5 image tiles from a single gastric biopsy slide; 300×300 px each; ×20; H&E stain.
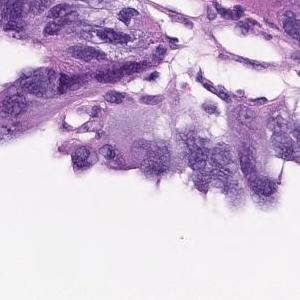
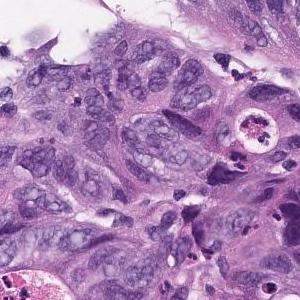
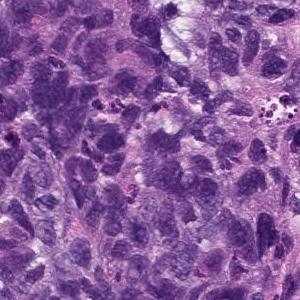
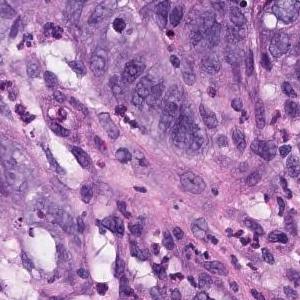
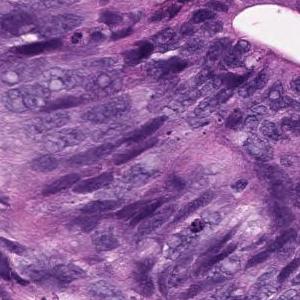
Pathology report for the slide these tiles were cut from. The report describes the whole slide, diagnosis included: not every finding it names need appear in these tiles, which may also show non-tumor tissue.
In the superficial epithelium, tumor tissue that invades by forming medium-sized to small, irregular ducts is observed. Moderately differentiated adenocarcinoma.
Histologic type: Moderately differentiated tubular adenocarcinoma.
